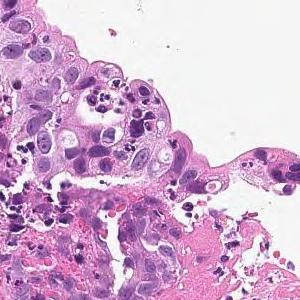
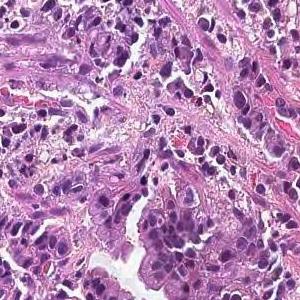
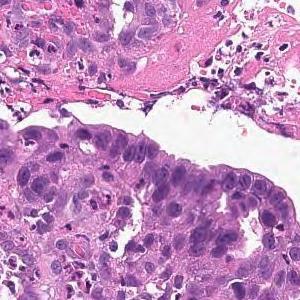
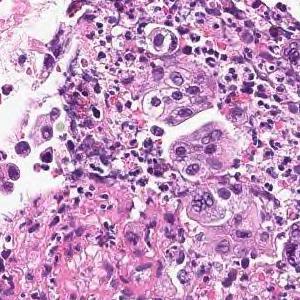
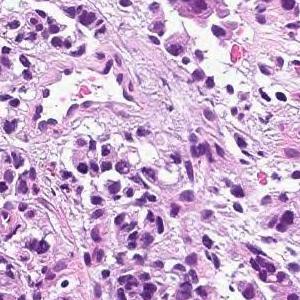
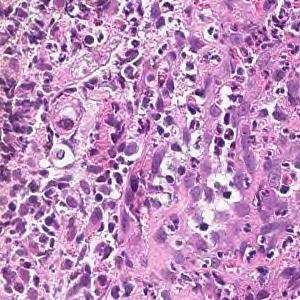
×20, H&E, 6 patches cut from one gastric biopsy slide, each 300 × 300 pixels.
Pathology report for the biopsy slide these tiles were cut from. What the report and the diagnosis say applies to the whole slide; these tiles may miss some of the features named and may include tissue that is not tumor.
Tumor tissue consisting of medium-sized, cord-like or irregular glandular infiltration is observed in the superficial epithelium. Poorly differentiated adenocarcinoma, non-solid type or moderately differentiated tubular adenocarcinoma
Tumor subtype: moderately to poorly differentiated adenocarcinoma.
"Non-solid type" is a category of the Japanese Classification of Gastric Carcinoma.
